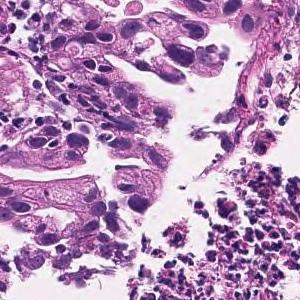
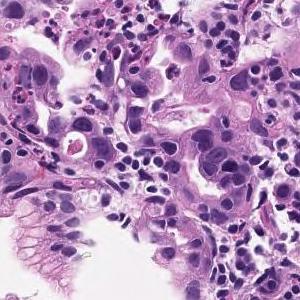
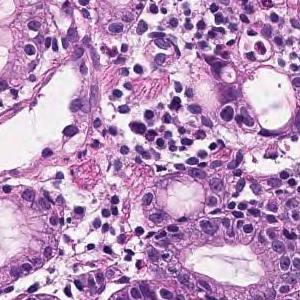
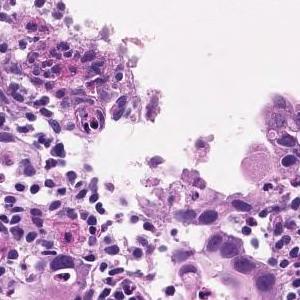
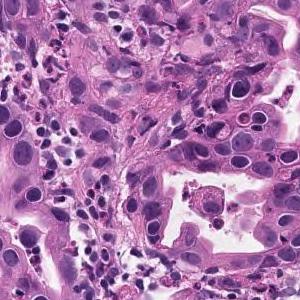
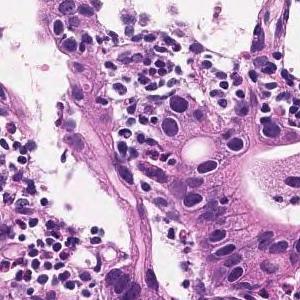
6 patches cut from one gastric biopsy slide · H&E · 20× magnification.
Diagnostic report for the slide these tiles come from. Both the report and the diagnosis are for the whole slide: these tiles need not show every feature named, and some of the tissue shown may not be tumor.
In the superficial epithelium, tumor tissue that invades by forming medium-sized to small, irregular ducts is observed. moderately differentiated tubular adenocarcinoma.
